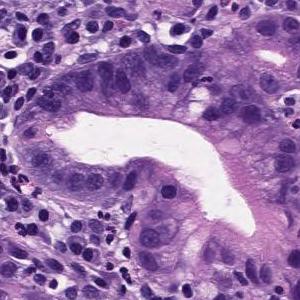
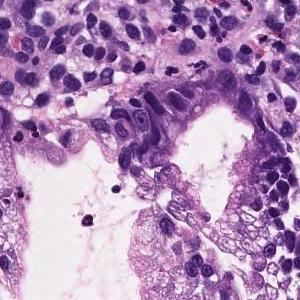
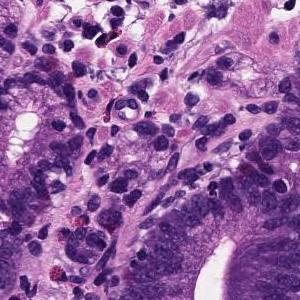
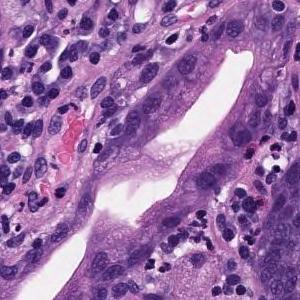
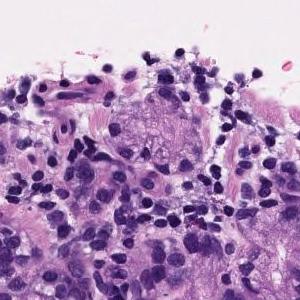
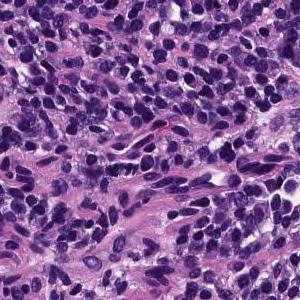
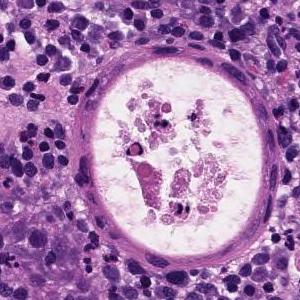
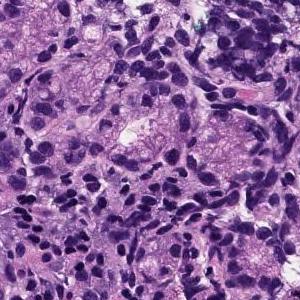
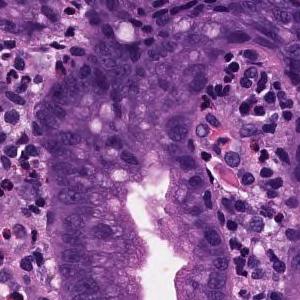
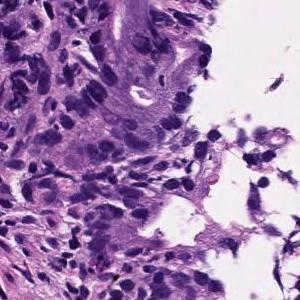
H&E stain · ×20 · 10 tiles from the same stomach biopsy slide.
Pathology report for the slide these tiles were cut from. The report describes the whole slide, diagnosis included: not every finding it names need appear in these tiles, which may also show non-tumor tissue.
Medium to small, irregular glandular ducts are formed in the superficial epithelium, and in some cases, the glandular ducts are fused to show solid alveolar lesions and infiltrating tumor tissue is observed. Moderately to poorly differentiated adenocarcinoma.
